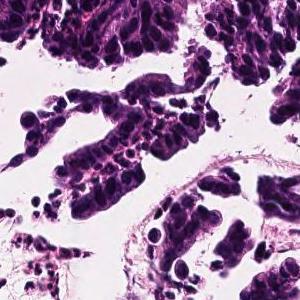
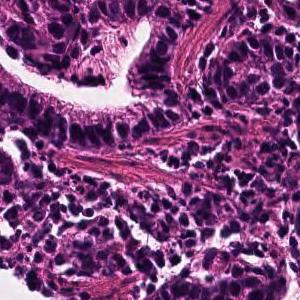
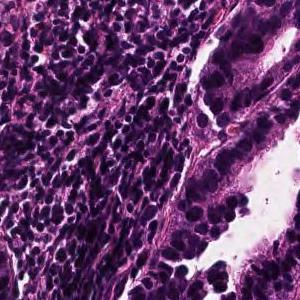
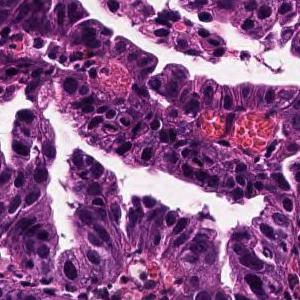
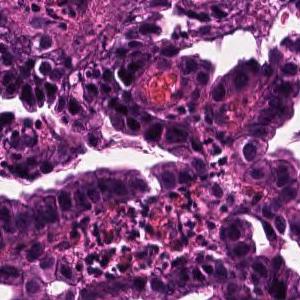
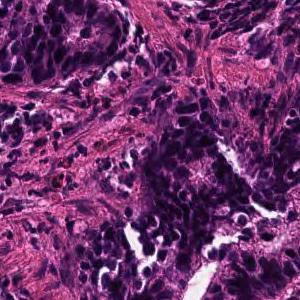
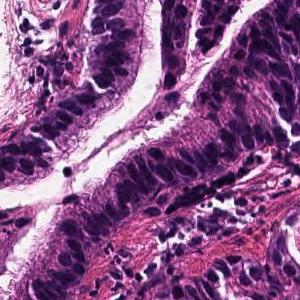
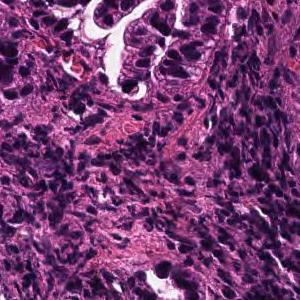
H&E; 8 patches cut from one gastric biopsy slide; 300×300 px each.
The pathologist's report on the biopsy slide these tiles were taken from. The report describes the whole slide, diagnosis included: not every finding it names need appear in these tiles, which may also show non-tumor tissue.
Tumor tissue consisting of large papillary structures is found in the superficial epithelium. Papillary adenocarcinoma.
